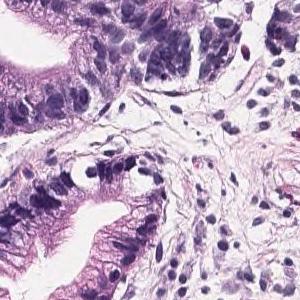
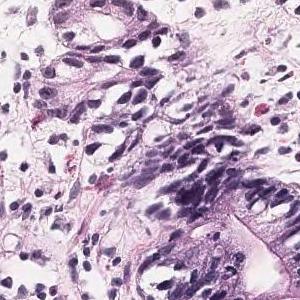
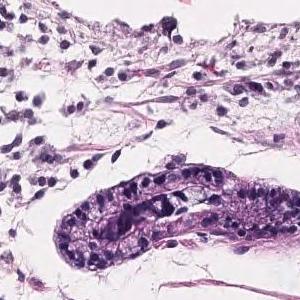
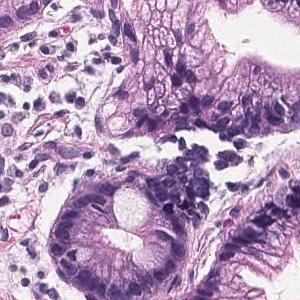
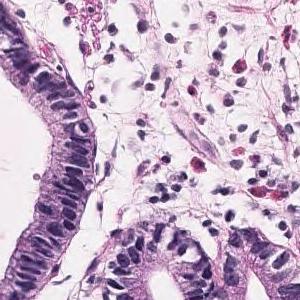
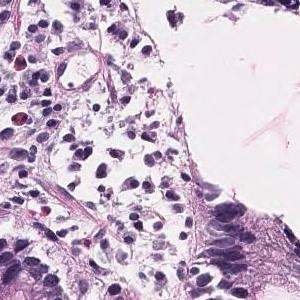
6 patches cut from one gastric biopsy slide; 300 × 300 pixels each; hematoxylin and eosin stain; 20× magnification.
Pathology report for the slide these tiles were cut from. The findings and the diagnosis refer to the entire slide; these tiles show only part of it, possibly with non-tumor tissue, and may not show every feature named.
On the superficial epithelium, tumor tissue consisting of large, irregular glandular ducts partially fused and infiltrated is observed. Well differentiated tubular adenocarcinoma
